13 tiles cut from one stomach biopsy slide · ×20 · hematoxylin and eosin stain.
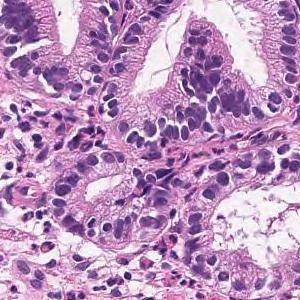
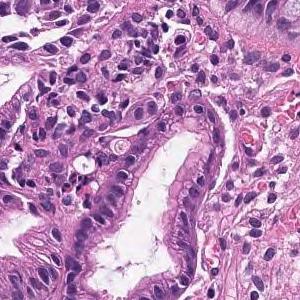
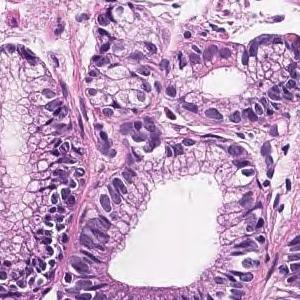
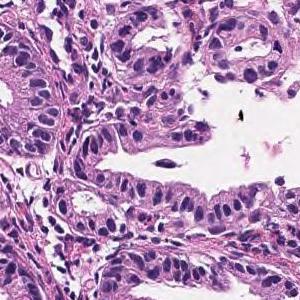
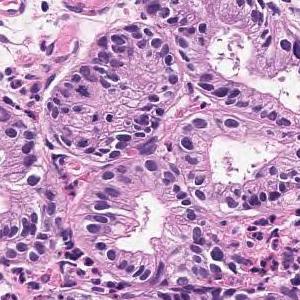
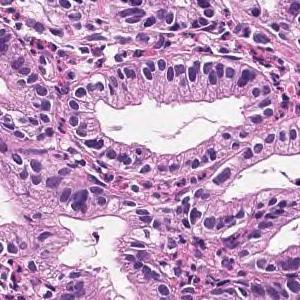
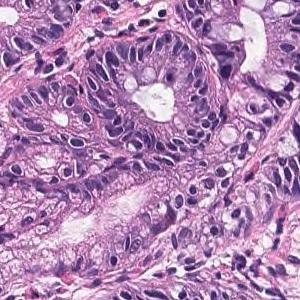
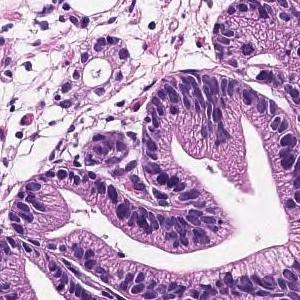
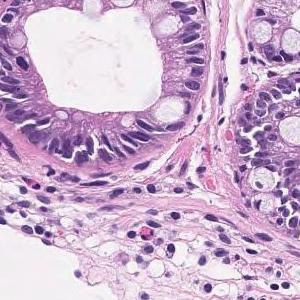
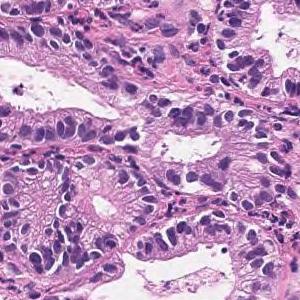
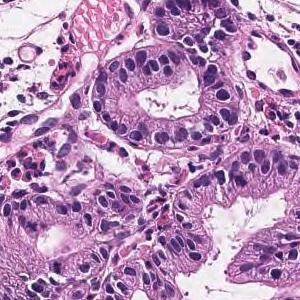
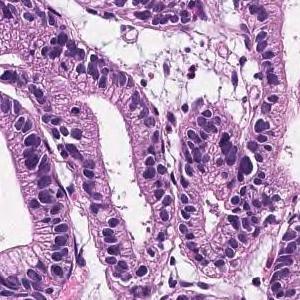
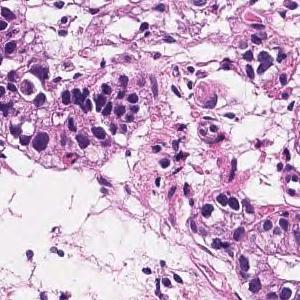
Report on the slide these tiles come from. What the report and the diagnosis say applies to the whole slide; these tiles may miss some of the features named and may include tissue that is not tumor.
In the superficial epithelium, tumor tissue that invades by forming medium-sized to small, irregular ducts is observed. Well differentiated tubular adenocarcinoma.
